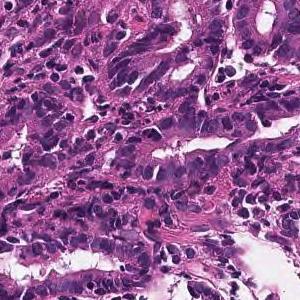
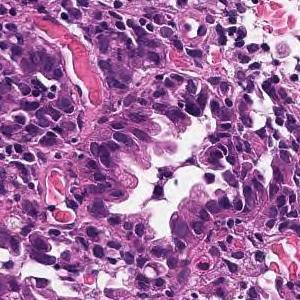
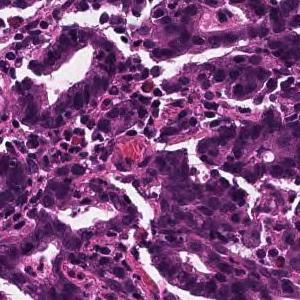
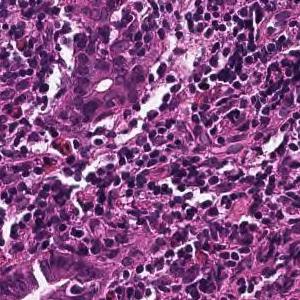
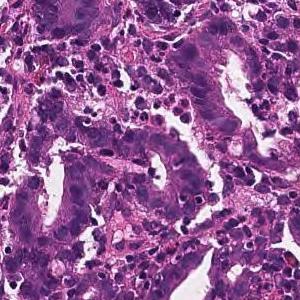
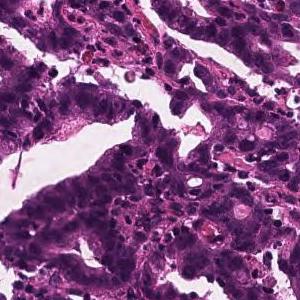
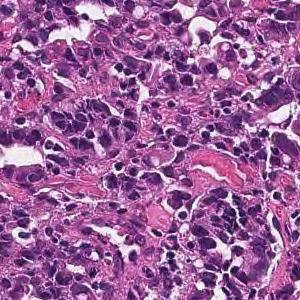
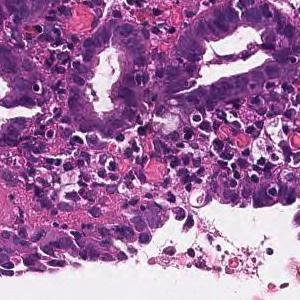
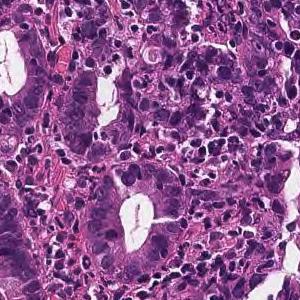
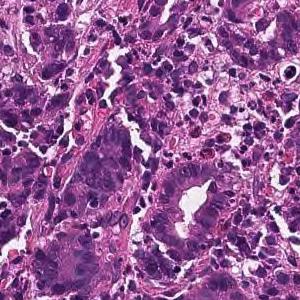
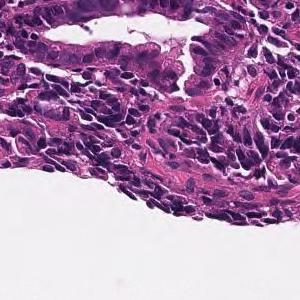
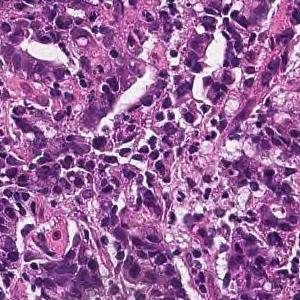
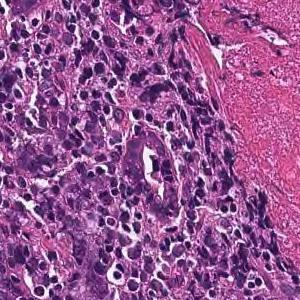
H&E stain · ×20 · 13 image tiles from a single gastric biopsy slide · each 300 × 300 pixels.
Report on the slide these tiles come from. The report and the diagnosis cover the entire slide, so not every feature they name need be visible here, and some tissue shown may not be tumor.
In the superficial epithelium, tumor tissue that invades by forming medium-sized to small, irregular ducts is observed. moderately differentiated tubular adenocarcinoma.
